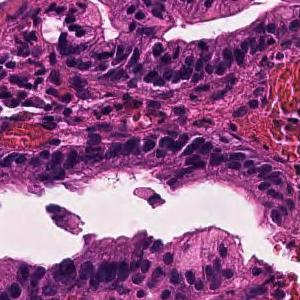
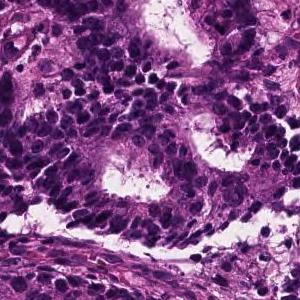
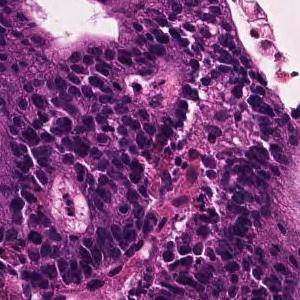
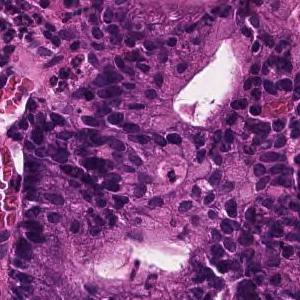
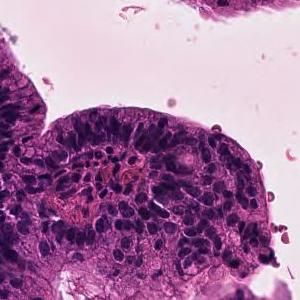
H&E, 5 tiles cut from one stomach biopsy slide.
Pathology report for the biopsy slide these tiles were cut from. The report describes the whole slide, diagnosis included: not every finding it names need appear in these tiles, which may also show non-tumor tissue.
In the superficial epithelium, tumor tissue that invades by forming medium-sized to small, irregular ducts is observed. moderately differentiated tubular adenocarcinoma.
